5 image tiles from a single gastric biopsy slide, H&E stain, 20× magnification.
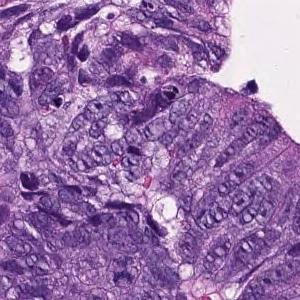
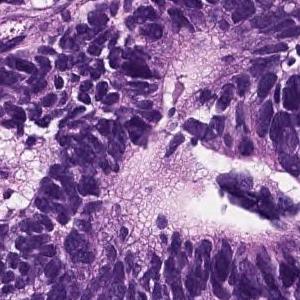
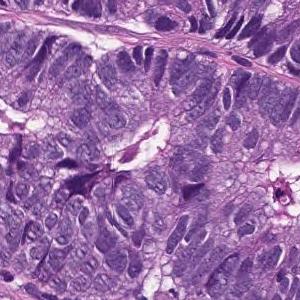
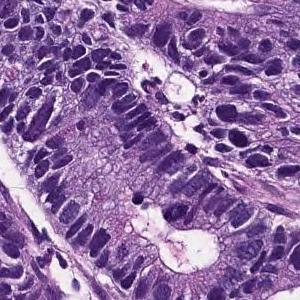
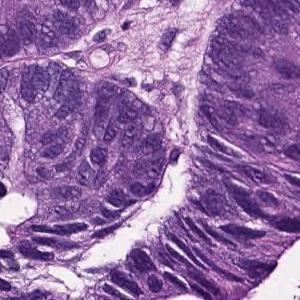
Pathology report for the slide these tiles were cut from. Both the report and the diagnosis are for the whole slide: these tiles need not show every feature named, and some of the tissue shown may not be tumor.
In the superficial epithelium, tumor tissue that invades by forming medium-sized to small, irregular ducts is observed. moderately differentiated tubular adenocarcinoma.
